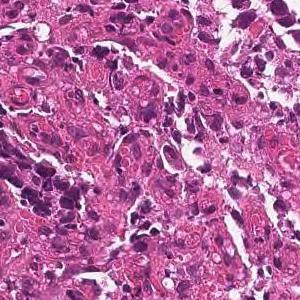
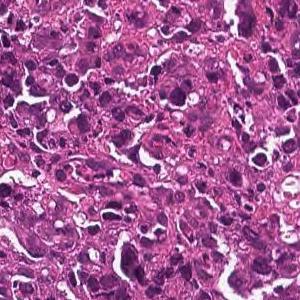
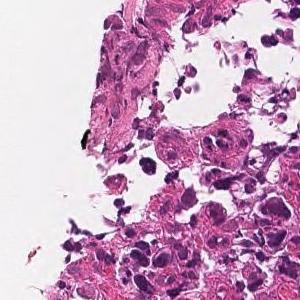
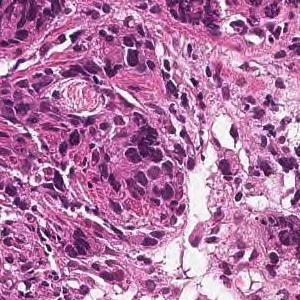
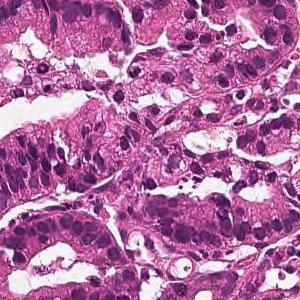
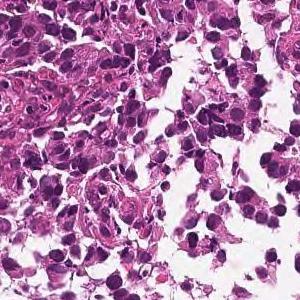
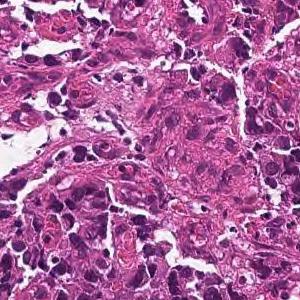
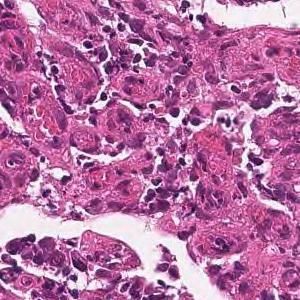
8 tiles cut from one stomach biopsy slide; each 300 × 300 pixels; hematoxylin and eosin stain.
Pathology report for the slide these tiles were cut from. The report and the diagnosis cover the entire slide, so not every feature they name need be visible here, and some tissue shown may not be tumor.
Tumor tissue consisting of medium-sized, cord-like or irregular glandular infiltration is observed in the superficial epithelium. Poorly differentiated adenocarcinoma, non-solid type or moderately differentiated tubular adenocarcinoma
Tumor subtype: moderately to poorly differentiated adenocarcinoma.
The non-solid type named here is a Japanese Classification of Gastric Carcinoma category.
